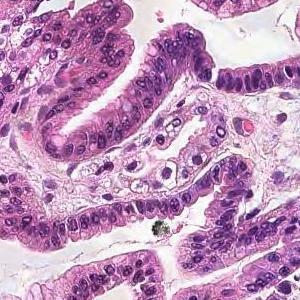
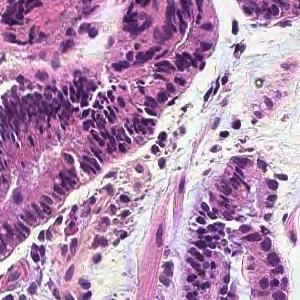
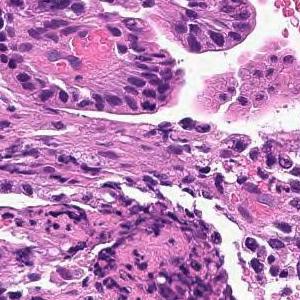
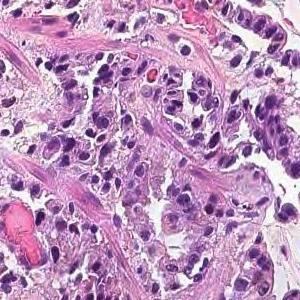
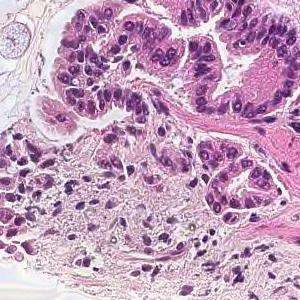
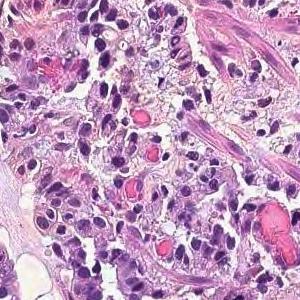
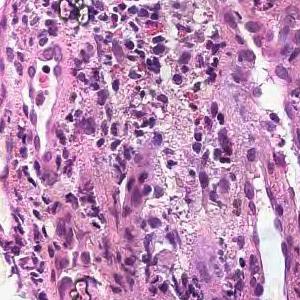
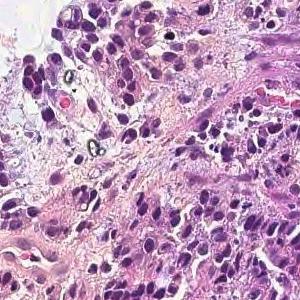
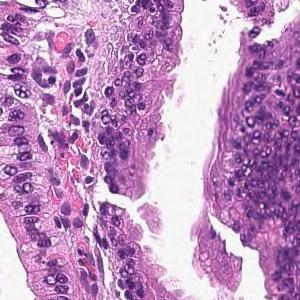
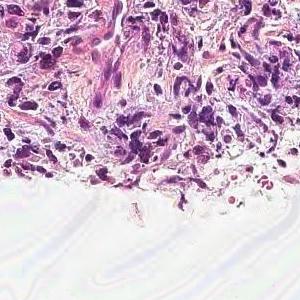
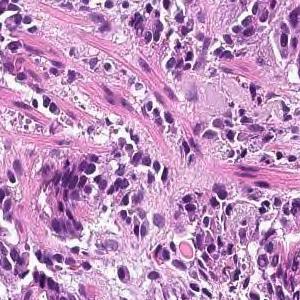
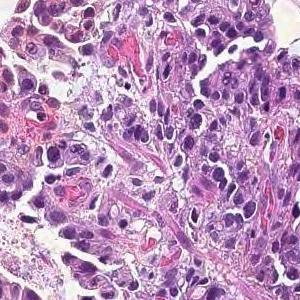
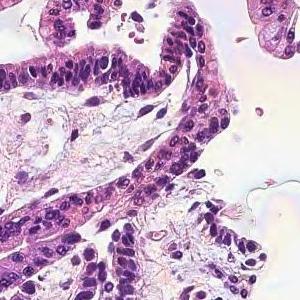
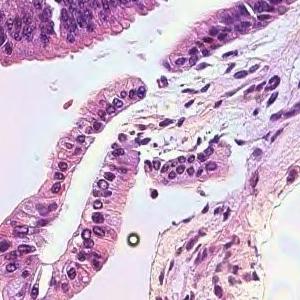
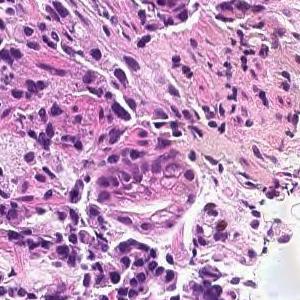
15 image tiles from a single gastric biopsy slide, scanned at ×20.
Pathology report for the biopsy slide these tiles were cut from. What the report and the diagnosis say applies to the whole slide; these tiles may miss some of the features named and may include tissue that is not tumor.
Tumor tissue consisting of medium-sized, cord-like or irregular glandular infiltration is observed in the superficial epithelium. Poorly differentiated adenocarcinoma, non-solid type or moderately differentiated tubular adenocarcinoma
Histological subtype: Moderately to poorly differentiated adenocarcinoma.
The non-solid type named here is a Japanese Classification of Gastric Carcinoma category.
